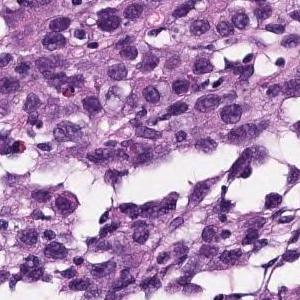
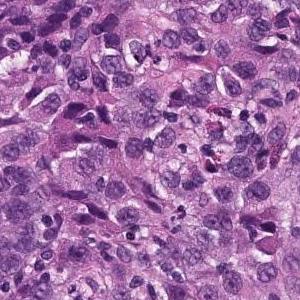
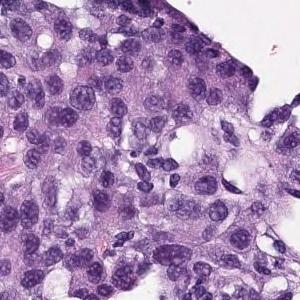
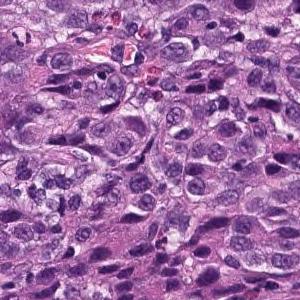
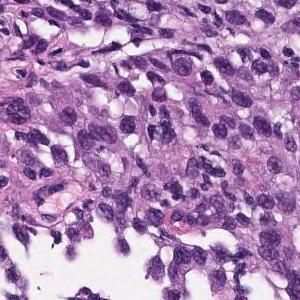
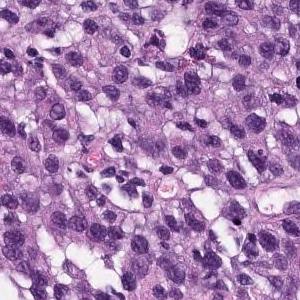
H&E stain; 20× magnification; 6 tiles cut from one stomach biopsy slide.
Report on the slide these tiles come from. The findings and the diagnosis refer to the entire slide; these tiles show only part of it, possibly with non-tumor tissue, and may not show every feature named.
In the superficial epithelium, tumor tissue that invades by forming medium-sized to small, irregular ducts is observed. Moderately differentiated adenocarcinoma.
Tumor subtype: moderately differentiated tubular adenocarcinoma.
